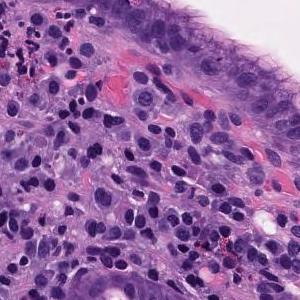
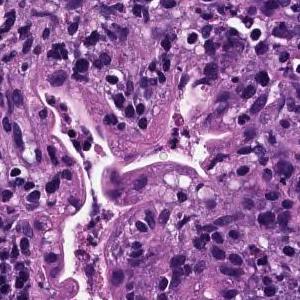
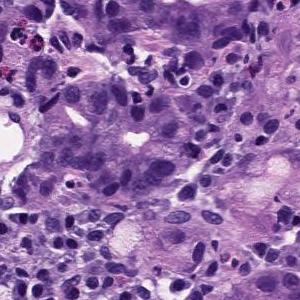
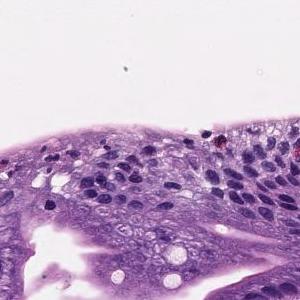
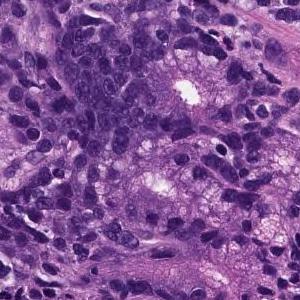
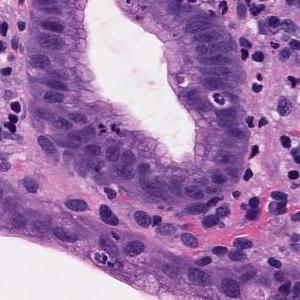
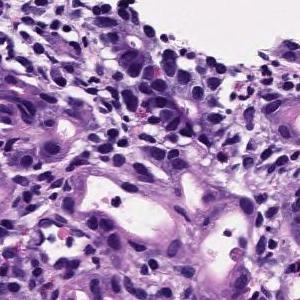
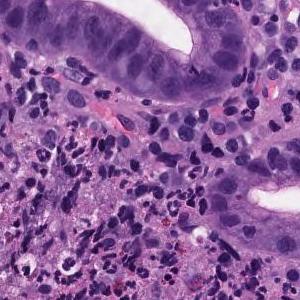
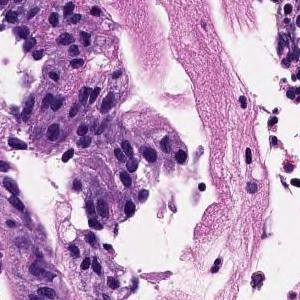
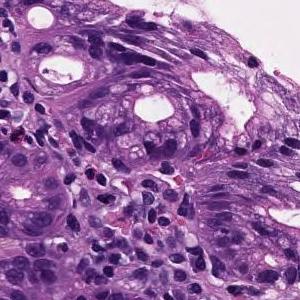
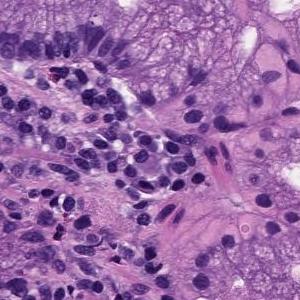
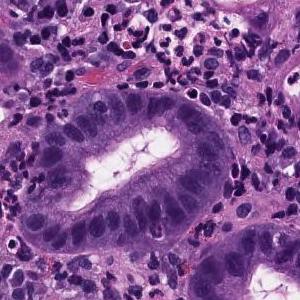
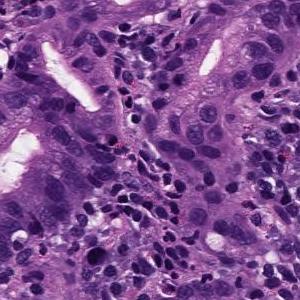
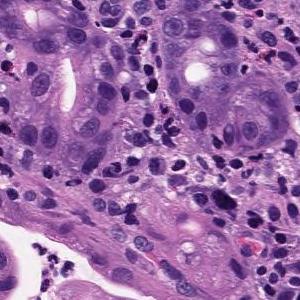
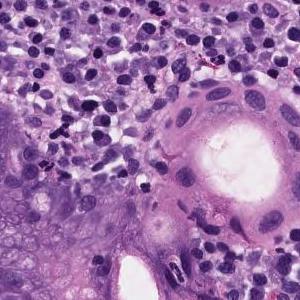
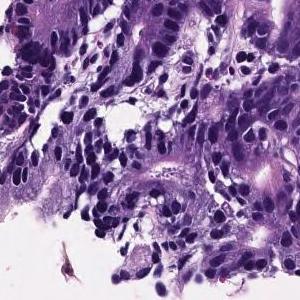
Scanned at ×20 · 16 tiles cut from one stomach biopsy slide.
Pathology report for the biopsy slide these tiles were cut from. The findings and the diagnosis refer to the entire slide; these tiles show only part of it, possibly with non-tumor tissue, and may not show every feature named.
Medium to small, irregular glandular ducts are formed in the superficial epithelium, and in some cases, the glandular ducts are fused to show solid alveolar lesions and infiltrating tumor tissue is observed. Moderately to poorly differentiated adenocarcinoma.
